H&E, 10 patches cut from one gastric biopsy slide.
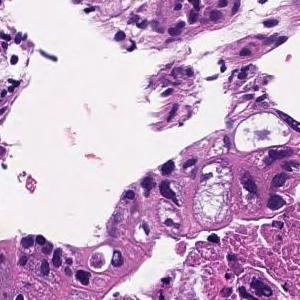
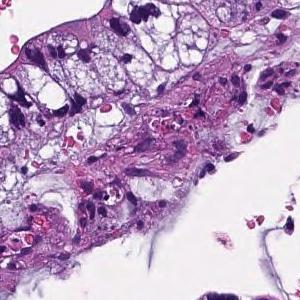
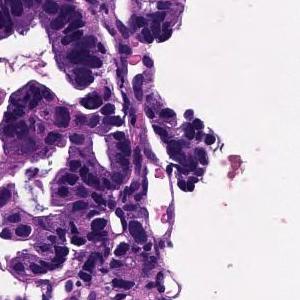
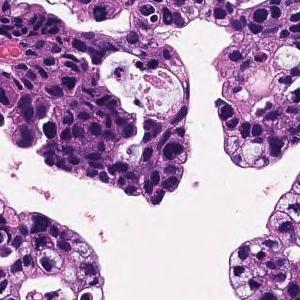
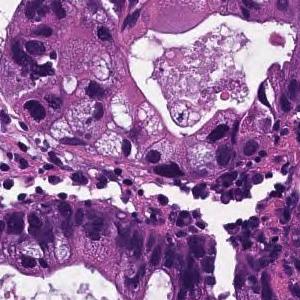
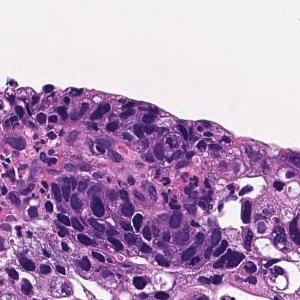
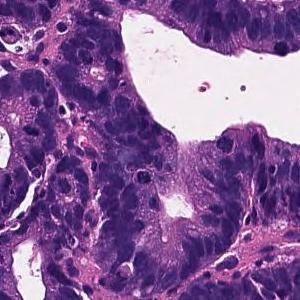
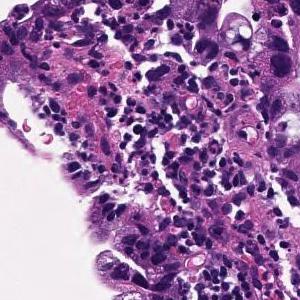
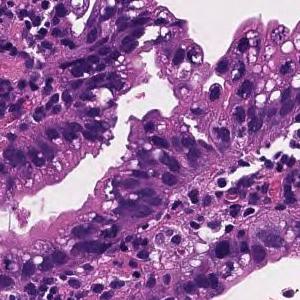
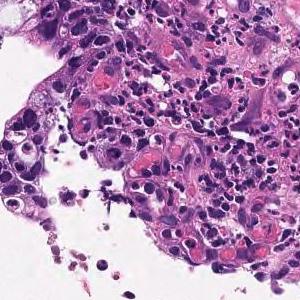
Pathology report for the slide these tiles were cut from. Both the report and the diagnosis are for the whole slide: these tiles need not show every feature named, and some of the tissue shown may not be tumor.
In the superficial epithelium, tumor tissue that invades by forming medium-sized to small, irregular ducts is observed. moderately differentiated tubular adenocarcinoma.
